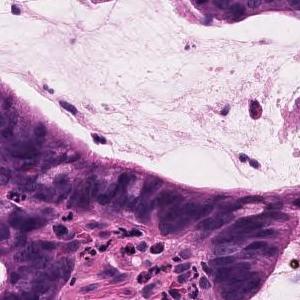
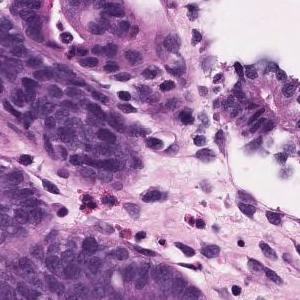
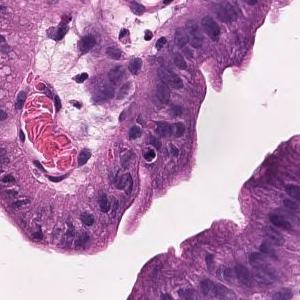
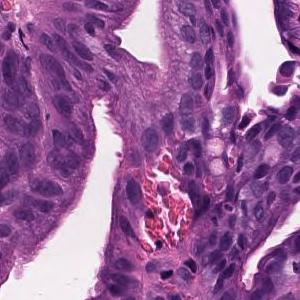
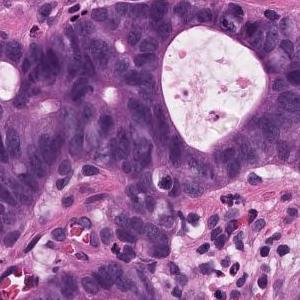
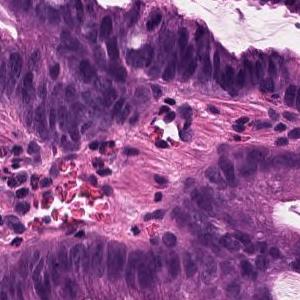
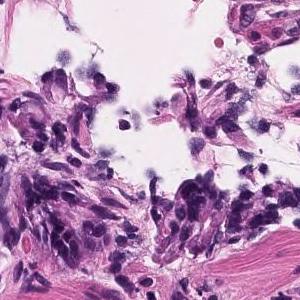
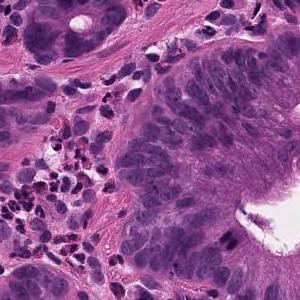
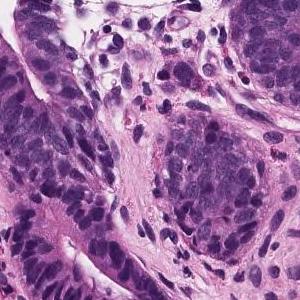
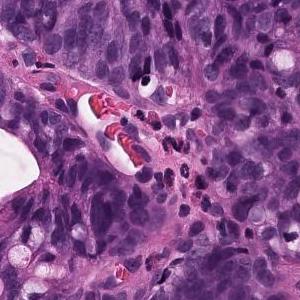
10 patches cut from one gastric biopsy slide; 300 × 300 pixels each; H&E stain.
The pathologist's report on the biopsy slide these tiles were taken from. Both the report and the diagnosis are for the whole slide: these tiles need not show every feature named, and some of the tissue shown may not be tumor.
Atypical ducts proliferating while irregularly fusing in the lateral direction is observed. Well differentiated tubular adenocarcinoma
